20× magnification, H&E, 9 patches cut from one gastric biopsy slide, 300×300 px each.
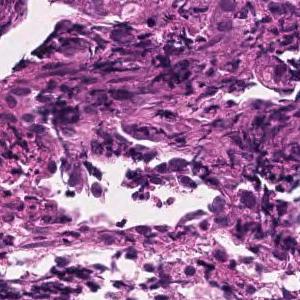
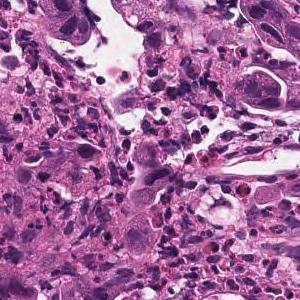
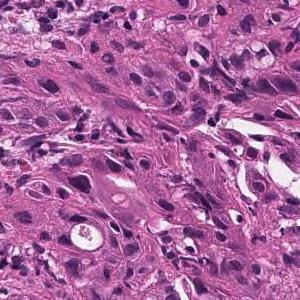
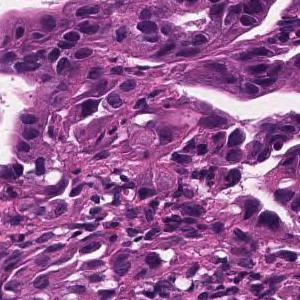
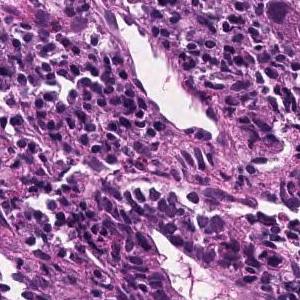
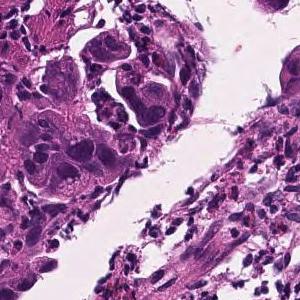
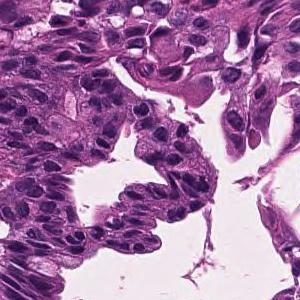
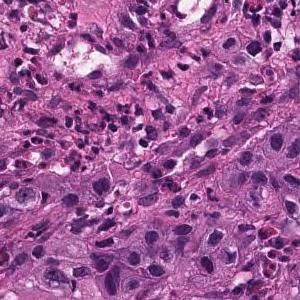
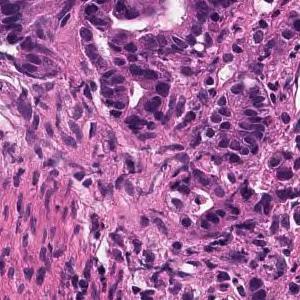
The pathologist's report on the biopsy slide these tiles were taken from. The findings and the diagnosis refer to the entire slide; these tiles show only part of it, possibly with non-tumor tissue, and may not show every feature named.
Tumor tissue consisting of medium-sized, cord-like or irregular glandular infiltration is observed in the superficial epithelium. Poorly differentiated adenocarcinoma, non-solid type or moderately differentiated tubular adenocarcinoma
The term "non-solid type" comes from the Japanese Classification of Gastric Carcinoma.
